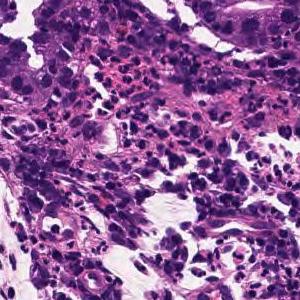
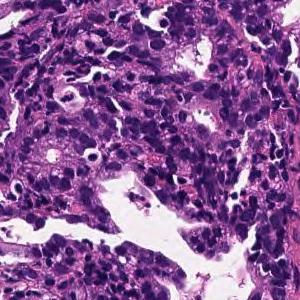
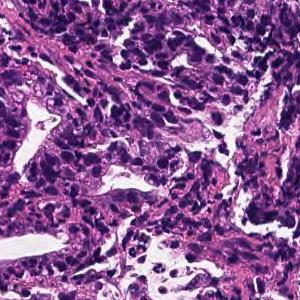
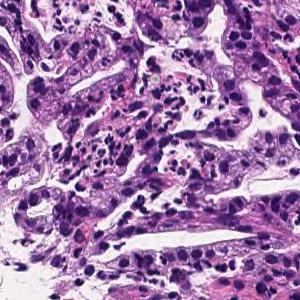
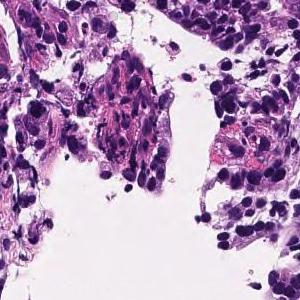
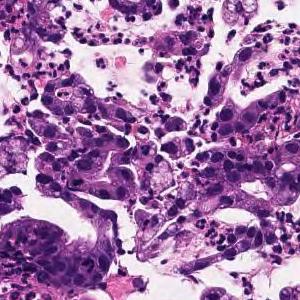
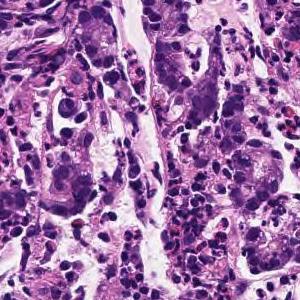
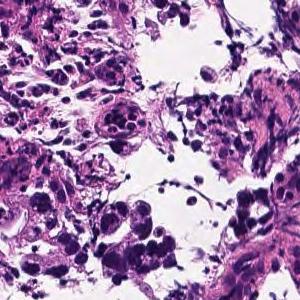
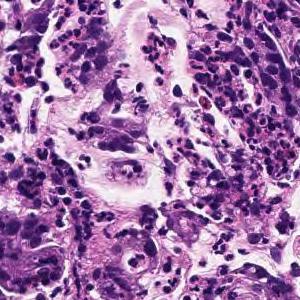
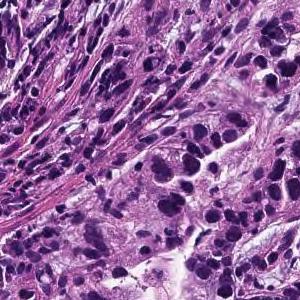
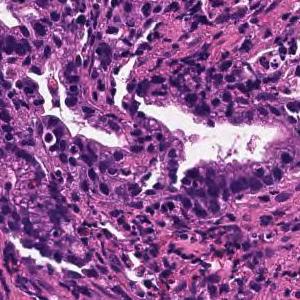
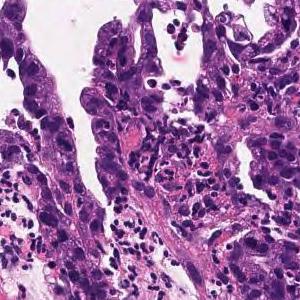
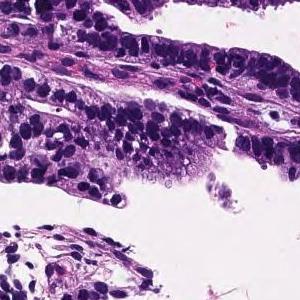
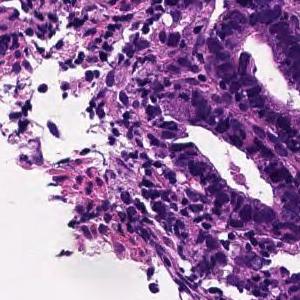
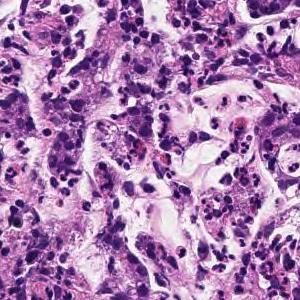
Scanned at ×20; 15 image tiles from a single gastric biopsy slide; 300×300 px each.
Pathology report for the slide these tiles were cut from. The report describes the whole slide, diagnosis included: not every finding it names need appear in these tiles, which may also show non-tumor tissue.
On the superficial epithelium, tumor tissue consisting of large, irregular glandular ducts partially fused and infiltrated is observed. Well to moderately differentiated tubular adenocarcinoma (well differentiated tubular adenocarcinoma, moderately differentiated tubular adenocarcinoma)
Histologic type: Well to moderately differentiated tubular adenocarcinoma.
